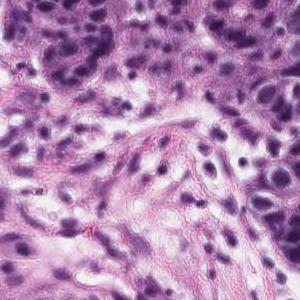
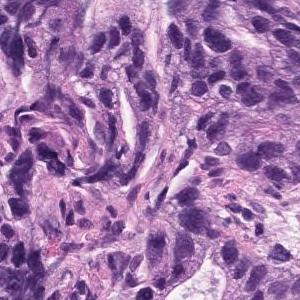
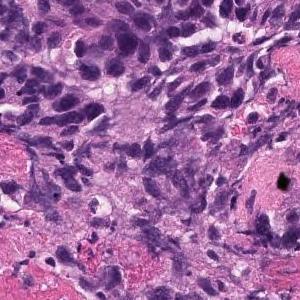
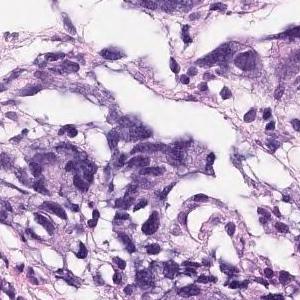
4 tiles from the same stomach biopsy slide · 300 × 300 pixels each · ×20.
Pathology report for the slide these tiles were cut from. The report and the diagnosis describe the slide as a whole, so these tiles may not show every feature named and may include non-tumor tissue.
Medium to small, irregular glandular ducts are formed in the superficial epithelium, and in some cases, the glandular ducts are fused to show solid alveolar lesions and infiltrating tumor tissue is observed. Moderately to poorly differentiated adenocarcinoma.
